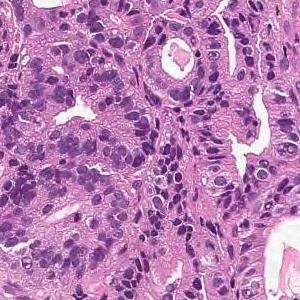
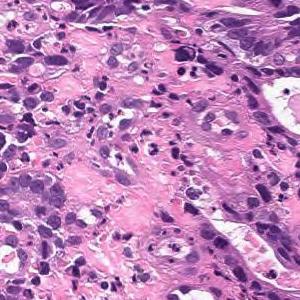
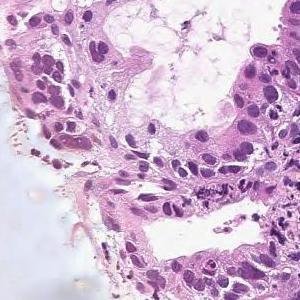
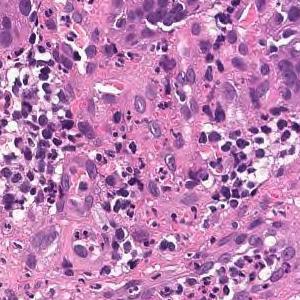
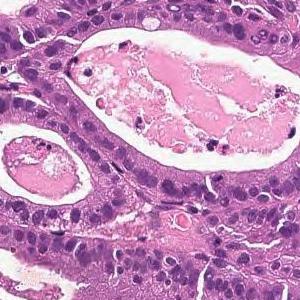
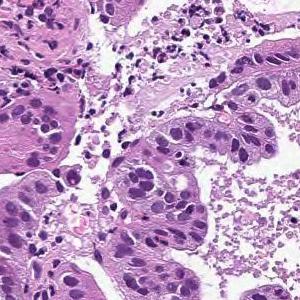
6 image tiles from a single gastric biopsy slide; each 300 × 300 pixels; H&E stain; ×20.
The pathologist's report on the biopsy slide these tiles were taken from. Both the report and the diagnosis are for the whole slide: these tiles need not show every feature named, and some of the tissue shown may not be tumor.
From the superficial epithelium to the muscularis mucosae, tumor tissue consisting of medium-sized and irregular glandular ducts infiltrating is observed. Well differentiated tubular adenocarcinoma
